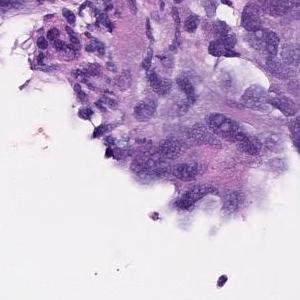
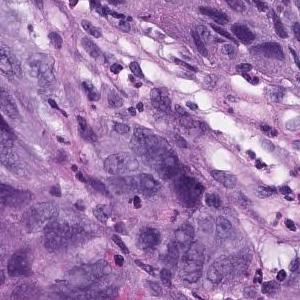
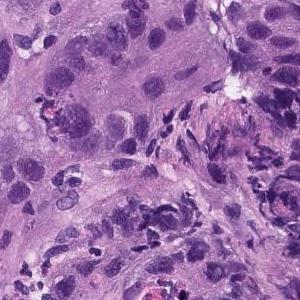
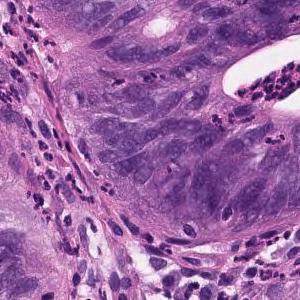
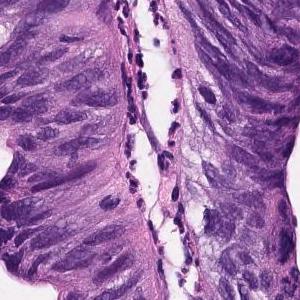
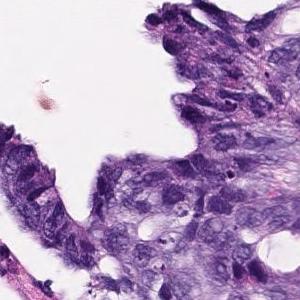
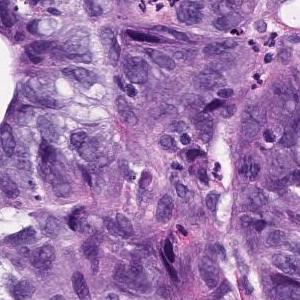
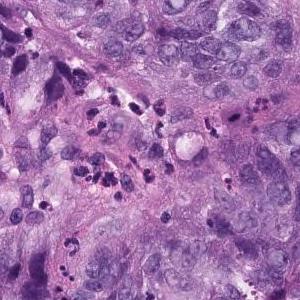
8 tiles cut from one stomach biopsy slide; each 300 × 300 pixels; scanned at ×20.
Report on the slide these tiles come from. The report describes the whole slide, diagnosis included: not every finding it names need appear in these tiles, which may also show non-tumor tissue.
In the superficial epithelium, tumor tissue that invades by forming medium-sized to small, irregular ducts is observed. Moderately differentiated adenocarcinoma.
Histologic type: Moderately differentiated tubular adenocarcinoma.
